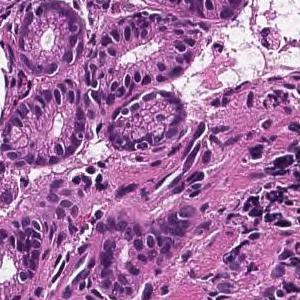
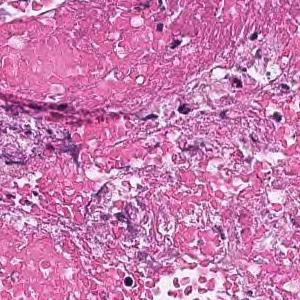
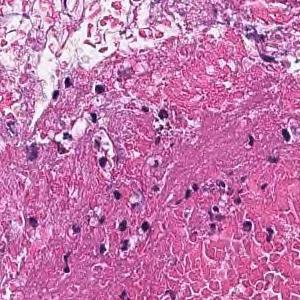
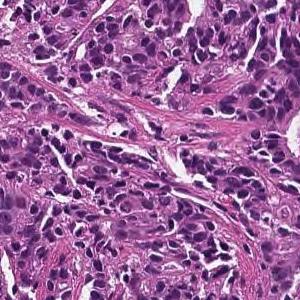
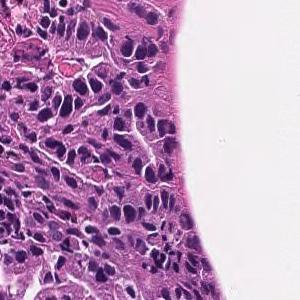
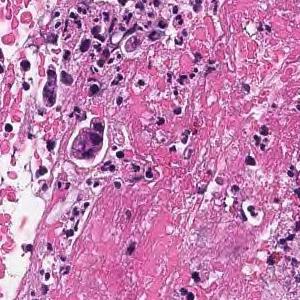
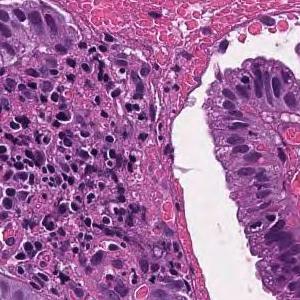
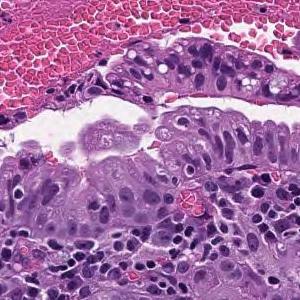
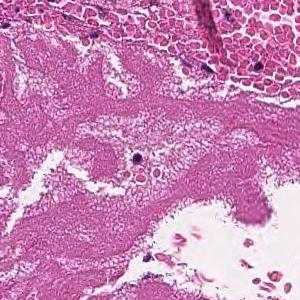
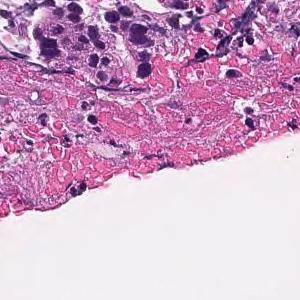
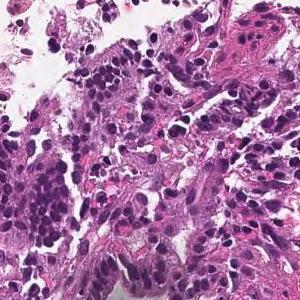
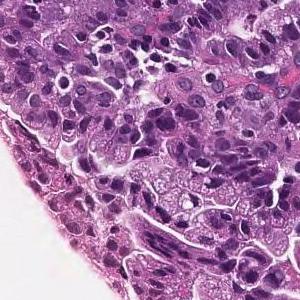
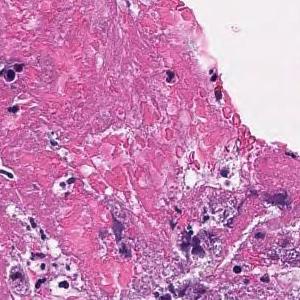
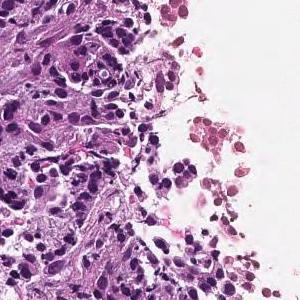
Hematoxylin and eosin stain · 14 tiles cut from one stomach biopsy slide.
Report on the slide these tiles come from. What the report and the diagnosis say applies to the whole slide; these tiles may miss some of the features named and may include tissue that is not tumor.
On the superficial epithelium, tumor tissue that infiltrates by forming medium-sized papillary or small irregular ducts is observed. Papillary adenocarcinoma
